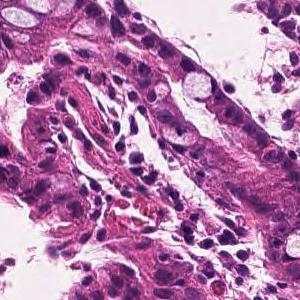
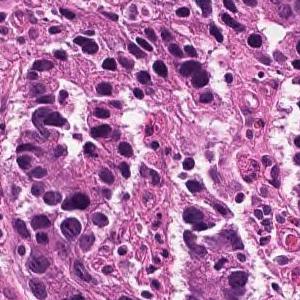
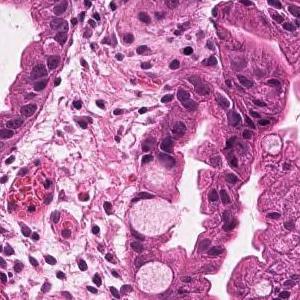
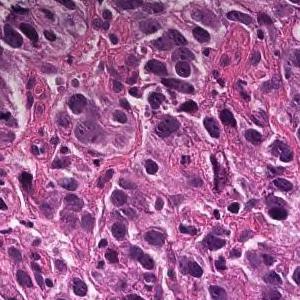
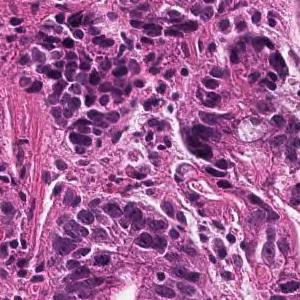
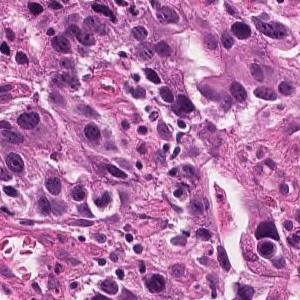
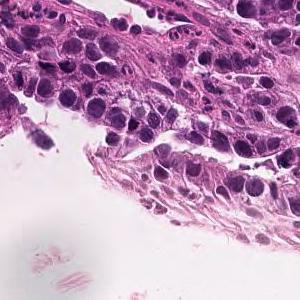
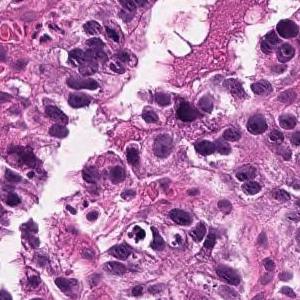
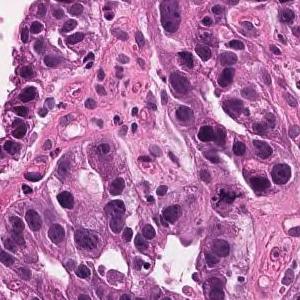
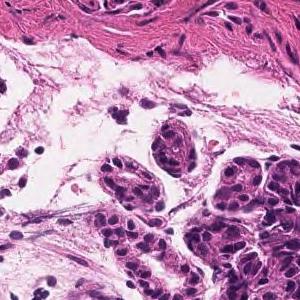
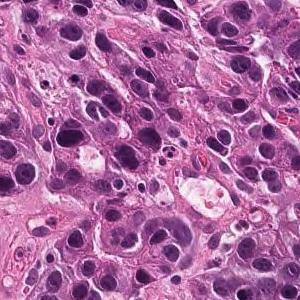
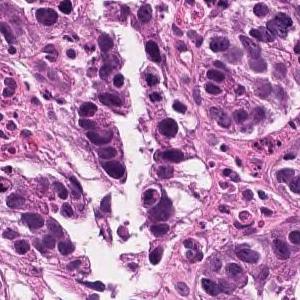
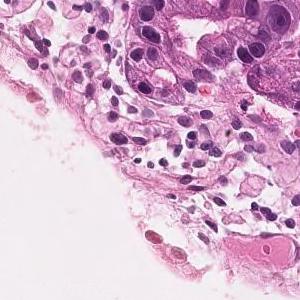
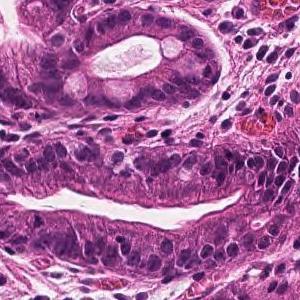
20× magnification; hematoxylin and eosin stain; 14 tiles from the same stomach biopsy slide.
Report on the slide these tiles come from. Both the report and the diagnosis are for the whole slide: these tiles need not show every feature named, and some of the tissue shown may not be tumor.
Tumor tissue consisting of medium-sized, cord-like or irregular glandular infiltration is observed in the superficial epithelium. Poorly differentiated adenocarcinoma, non-solid type or moderately differentiated tubular adenocarcinoma
Histological subtype: Moderately to poorly differentiated adenocarcinoma.
The non-solid type named here is a Japanese Classification of Gastric Carcinoma category.
